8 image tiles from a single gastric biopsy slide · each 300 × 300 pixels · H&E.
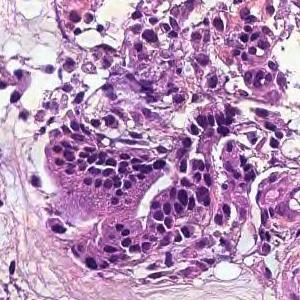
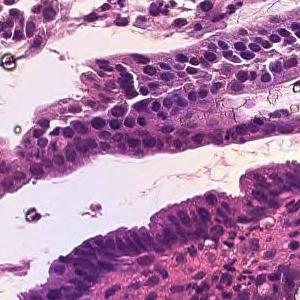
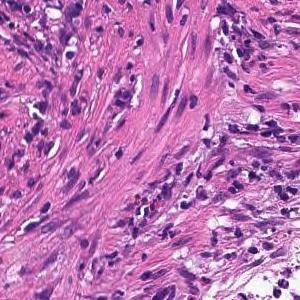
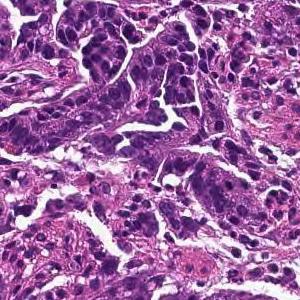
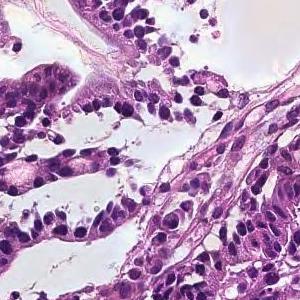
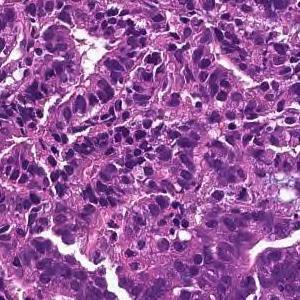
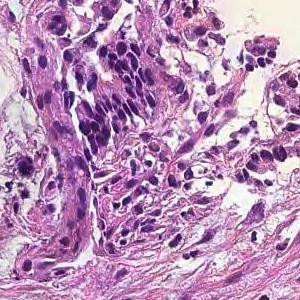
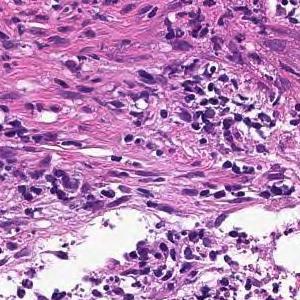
Pathology report for the slide these tiles were cut from. The report and the diagnosis cover the entire slide, so not every feature they name need be visible here, and some tissue shown may not be tumor.
In the superficial epithelium, tumor tissue that invades by forming medium-sized to small, irregular ducts is observed. moderately differentiated tubular adenocarcinoma.
